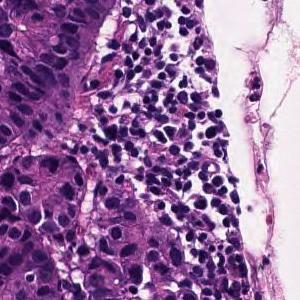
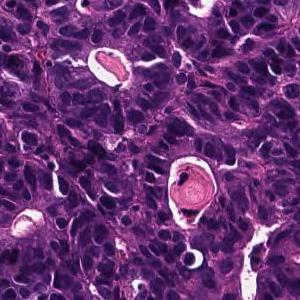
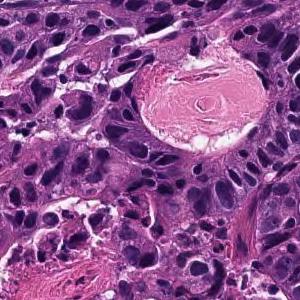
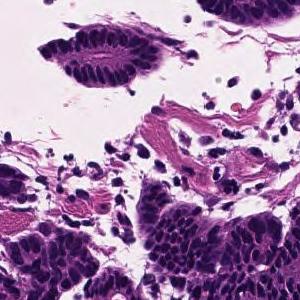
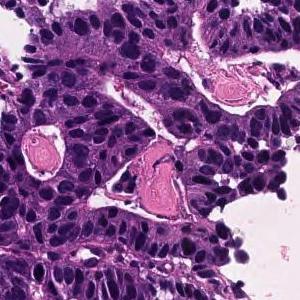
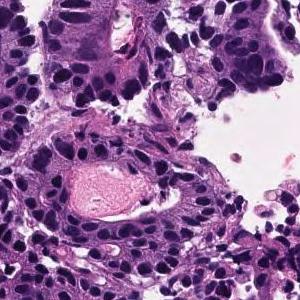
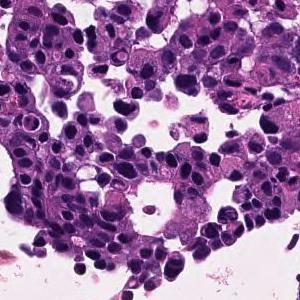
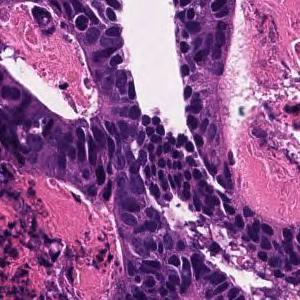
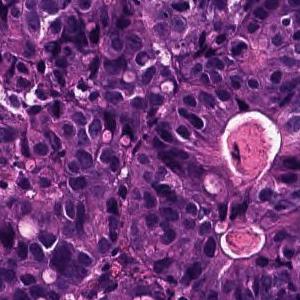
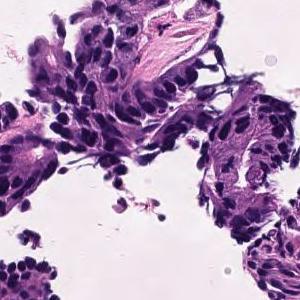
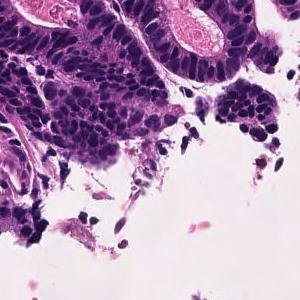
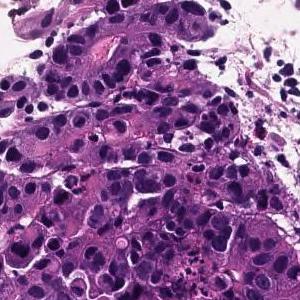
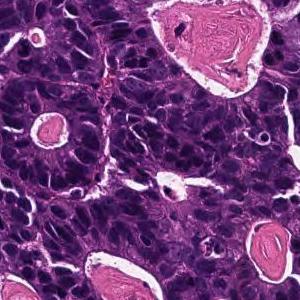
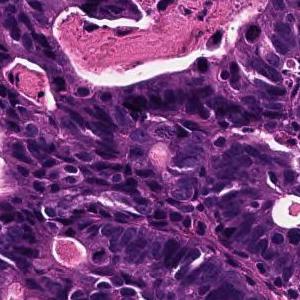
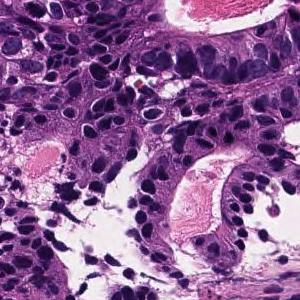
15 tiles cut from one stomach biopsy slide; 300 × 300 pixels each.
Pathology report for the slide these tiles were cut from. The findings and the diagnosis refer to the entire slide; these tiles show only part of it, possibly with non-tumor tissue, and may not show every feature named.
In the superficial epithelium, tumor tissue that invades by forming medium-sized to small, irregular ducts is observed. moderately differentiated tubular adenocarcinoma.
